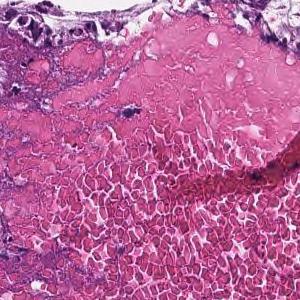
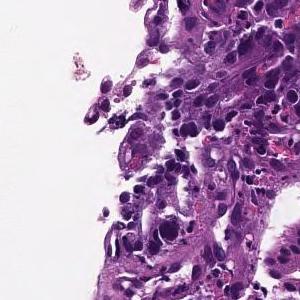
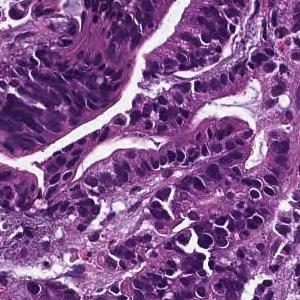
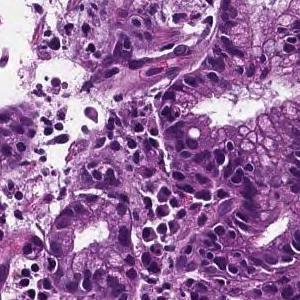
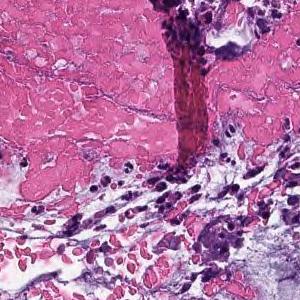
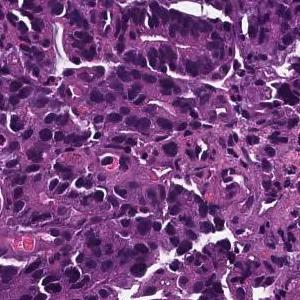
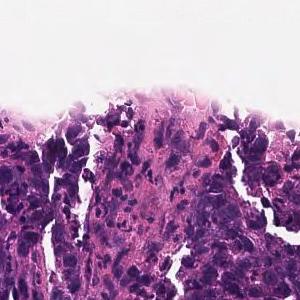
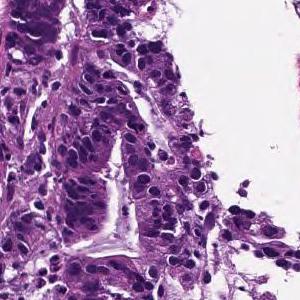
8 tiles cut from one stomach biopsy slide, 20× magnification, H&E.
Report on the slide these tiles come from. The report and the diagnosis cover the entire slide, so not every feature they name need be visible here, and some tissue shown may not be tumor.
On the superficial epithelium, tumor tissue consisting of large irregular glandular ducts partially fused and infiltrated is observed. Well to moderately differentiated tubular adenocarcinoma (well differentiated tubular adenocarcinoma, moderately differentiated tubular adenocarcinoma)
Classified as well to moderately differentiated tubular adenocarcinoma.
